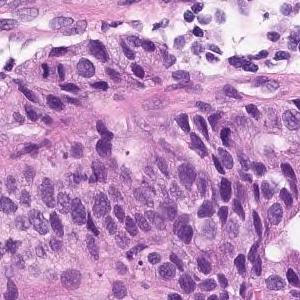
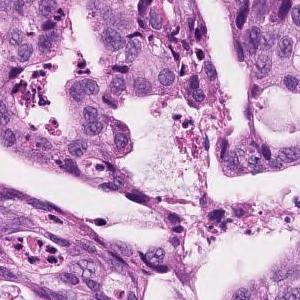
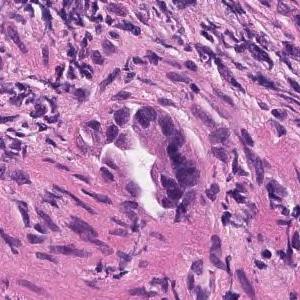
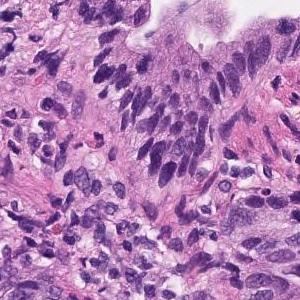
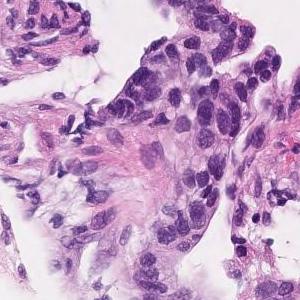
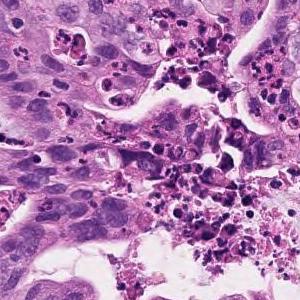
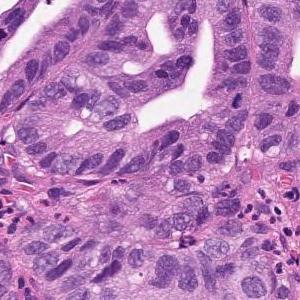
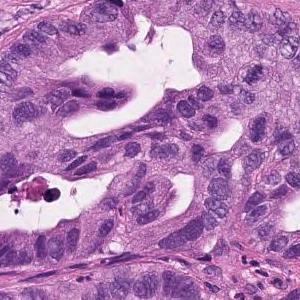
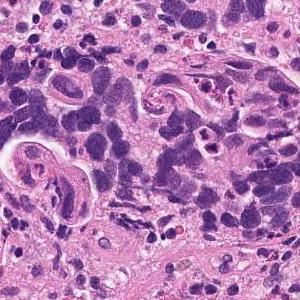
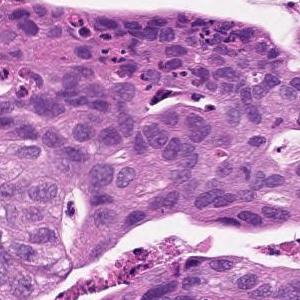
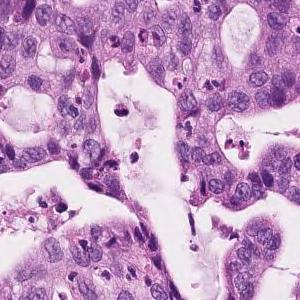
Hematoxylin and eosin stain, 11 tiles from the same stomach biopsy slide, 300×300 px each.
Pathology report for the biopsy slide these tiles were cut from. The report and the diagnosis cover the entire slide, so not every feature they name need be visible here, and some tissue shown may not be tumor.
Atypical epithelium forming papillary or sieving ducts and infiltrating growth is observed. Papillary adenocarcinoma.
